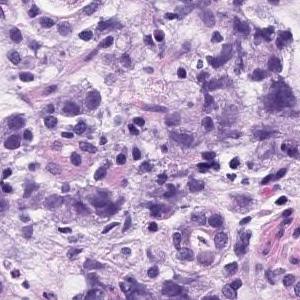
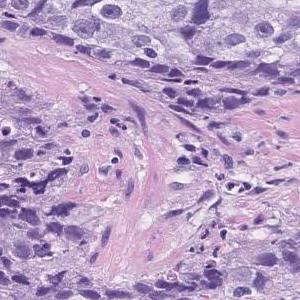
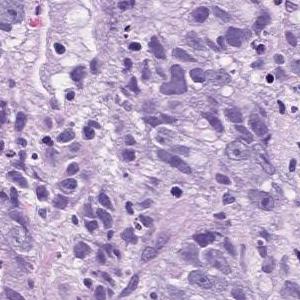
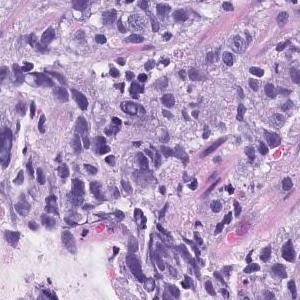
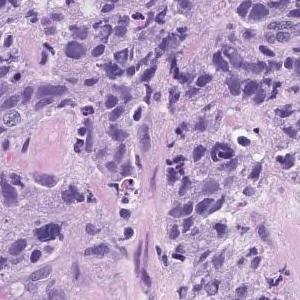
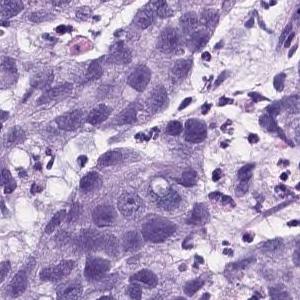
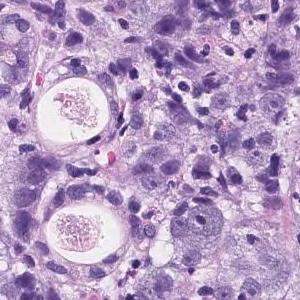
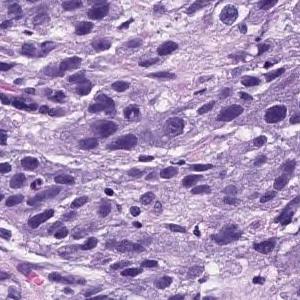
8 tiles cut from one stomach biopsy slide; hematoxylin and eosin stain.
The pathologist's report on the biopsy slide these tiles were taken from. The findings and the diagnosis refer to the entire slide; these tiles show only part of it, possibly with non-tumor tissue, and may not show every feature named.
Atypical l cells with atypical nuclei forming solid vesicles or small irregular atypical ducts that proliferate in a complex manner. poorly differentiated adenocarcinoma, solid type, moderately differentiated tubular adenocarcinoma
"Solid type" is a category of the Japanese Classification of Gastric Carcinoma; in the WHO 2019 classification it is tubular adenocarcinoma, poorly differentiated.
